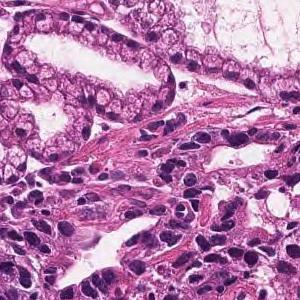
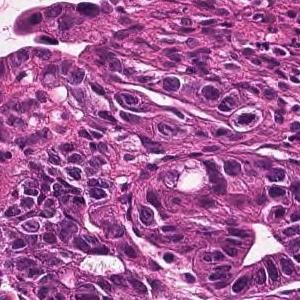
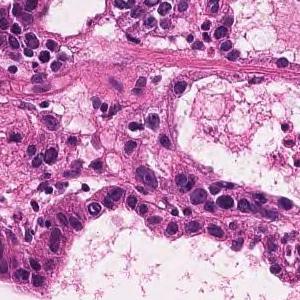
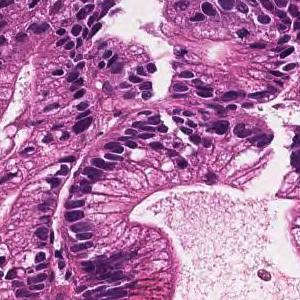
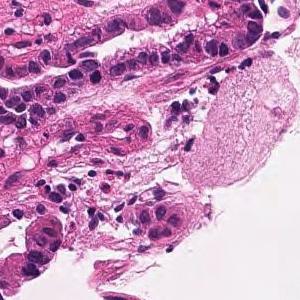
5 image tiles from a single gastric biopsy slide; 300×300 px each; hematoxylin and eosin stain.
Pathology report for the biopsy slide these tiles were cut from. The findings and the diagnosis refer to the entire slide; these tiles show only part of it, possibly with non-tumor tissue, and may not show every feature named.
In the superficial epithelium, tumor tissue that invades by forming medium-sized to small, irregular ducts is observed. moderately differentiated tubular adenocarcinoma.
